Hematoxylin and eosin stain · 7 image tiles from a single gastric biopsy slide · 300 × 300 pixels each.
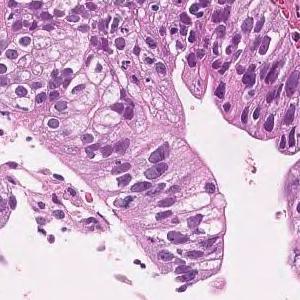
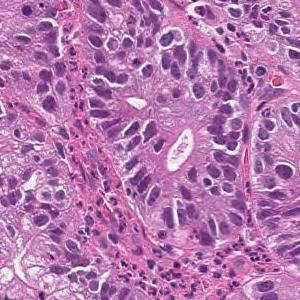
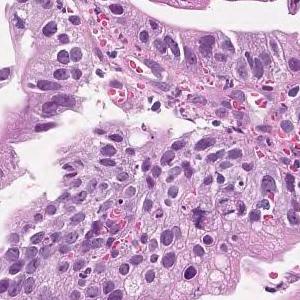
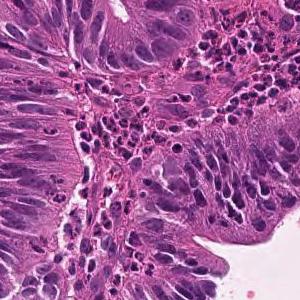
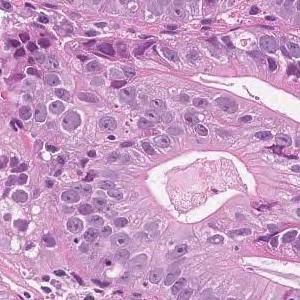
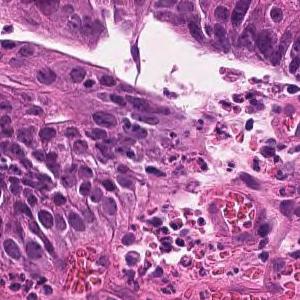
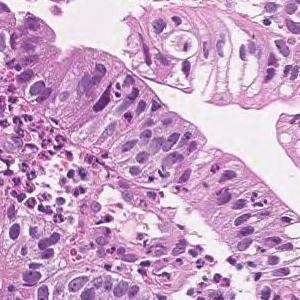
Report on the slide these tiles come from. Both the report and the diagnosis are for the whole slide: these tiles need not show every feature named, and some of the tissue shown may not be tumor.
Tumor cells are large, highly columnar, large club-shaped nuclei, and are associated with chromatin aggregation. Papillary adenocarcinoma.
